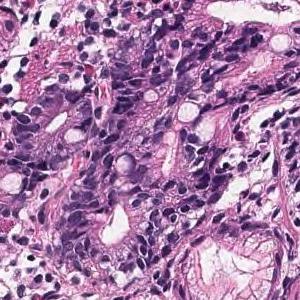
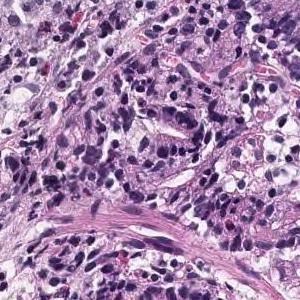
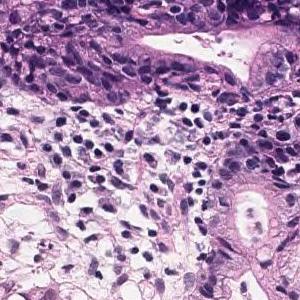
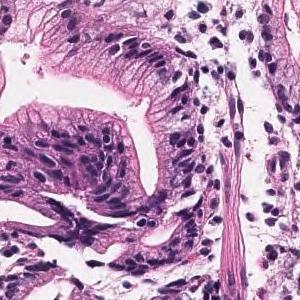
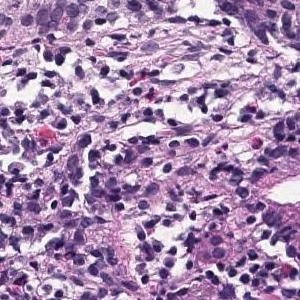
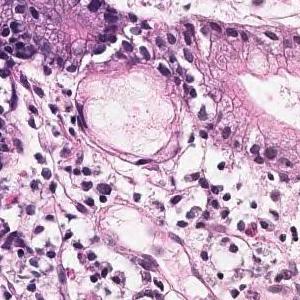
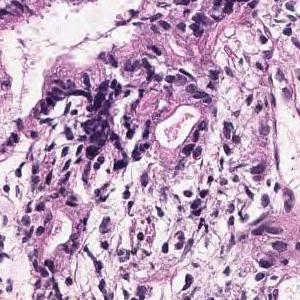
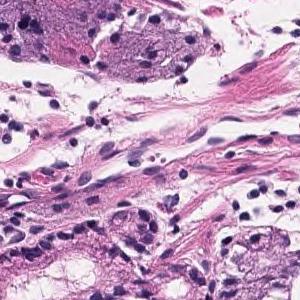
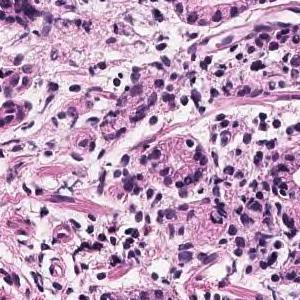
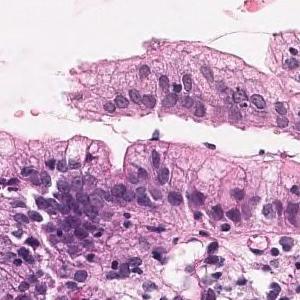
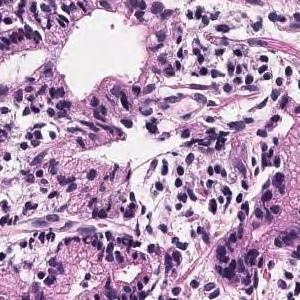
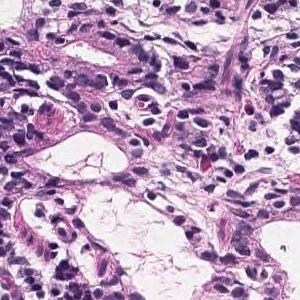
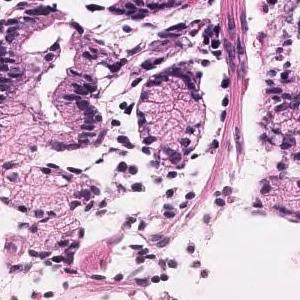
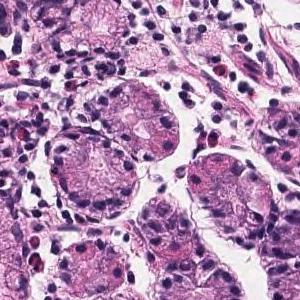
14 image tiles from a single gastric biopsy slide; each 300 × 300 pixels; 20× magnification; hematoxylin and eosin stain.
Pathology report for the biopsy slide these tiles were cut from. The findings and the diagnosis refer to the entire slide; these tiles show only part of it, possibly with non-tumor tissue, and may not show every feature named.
Tumor tissue that grows and grows is observed, showing a medium-sized round or irregular duct. moderately differentiated tubular adenocarcinoma
